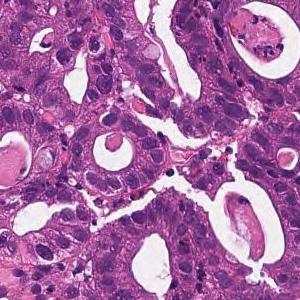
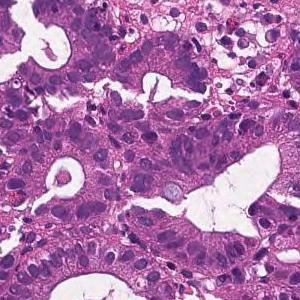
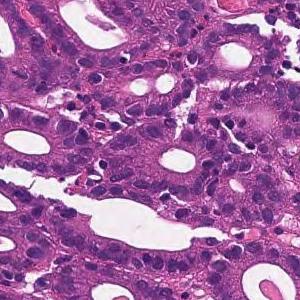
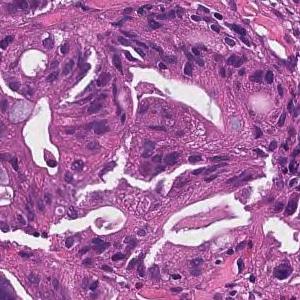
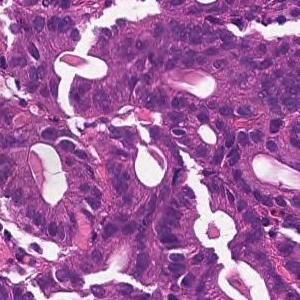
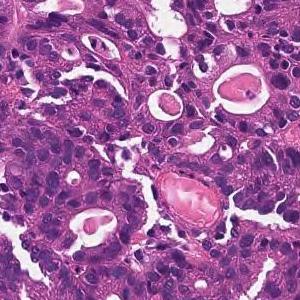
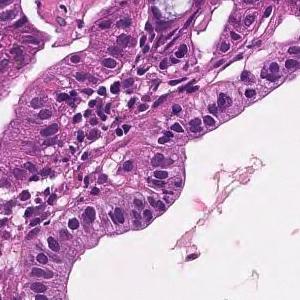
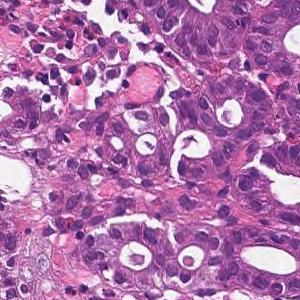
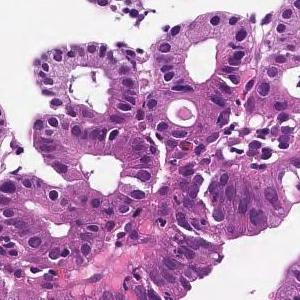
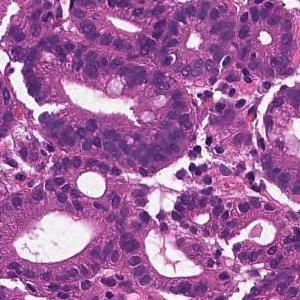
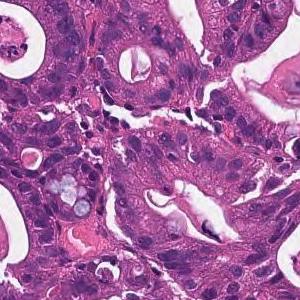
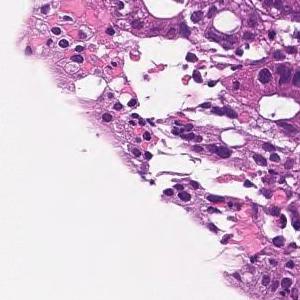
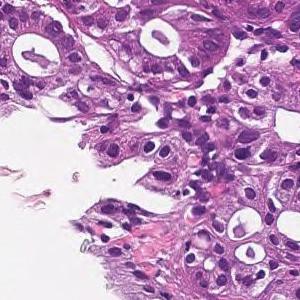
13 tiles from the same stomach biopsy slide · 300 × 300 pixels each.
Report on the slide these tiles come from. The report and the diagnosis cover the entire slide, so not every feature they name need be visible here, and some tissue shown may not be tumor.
On the superficial epithelium, tumor tissue consisting of medium-sized irregular glandular ducts partially fused and infiltrated is observed. Well to moderately differentiated tubular adenocarcinoma (well differentiated tubular adenocarcinoma-moderately differentiated tubular adenocarcinoma)
Histological subtype: Well to moderately differentiated tubular adenocarcinoma.
